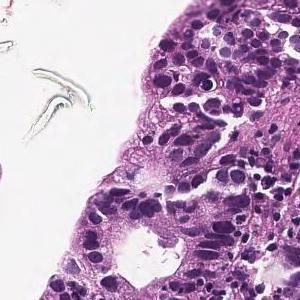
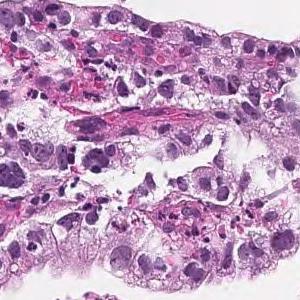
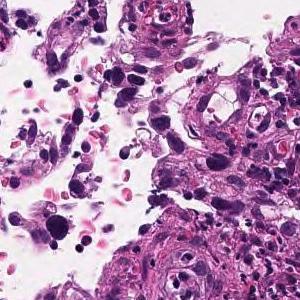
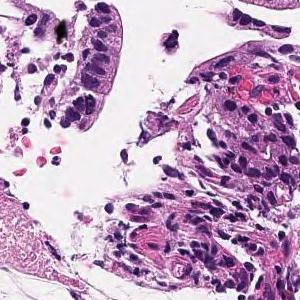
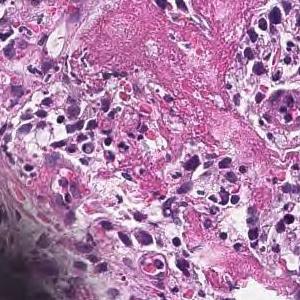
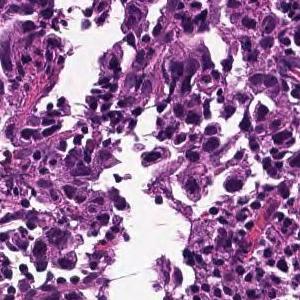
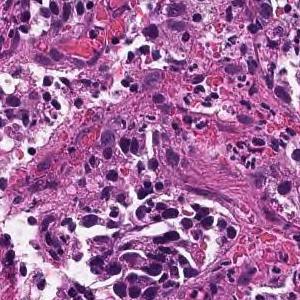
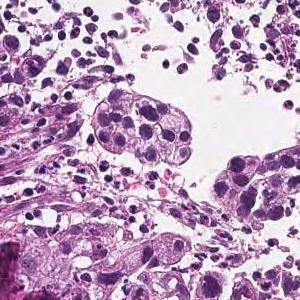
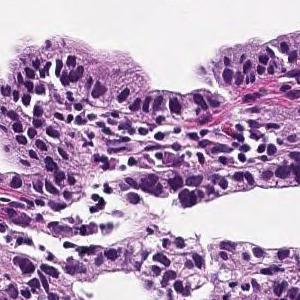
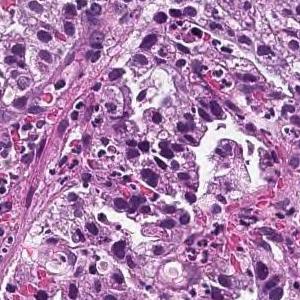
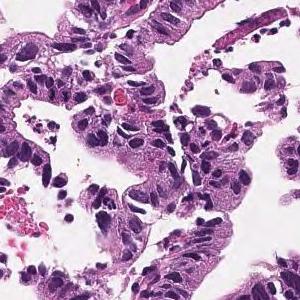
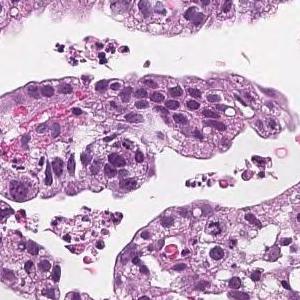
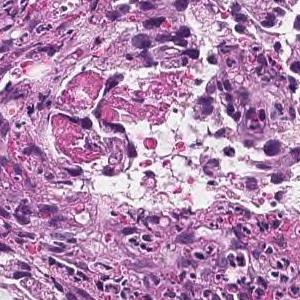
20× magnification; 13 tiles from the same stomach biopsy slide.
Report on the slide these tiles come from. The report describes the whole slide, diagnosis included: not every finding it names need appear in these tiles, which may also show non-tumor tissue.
Tumor tissue consisting of medium-sized, cord-like or irregular glandular infiltration is observed in the superficial epithelium. Poorly differentiated adenocarcinoma, non-solid type or moderately differentiated tubular adenocarcinoma
Subtype: Moderately to poorly differentiated adenocarcinoma.
The term "non-solid type" comes from the Japanese Classification of Gastric Carcinoma.
